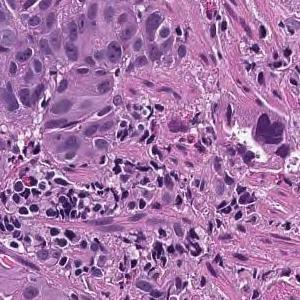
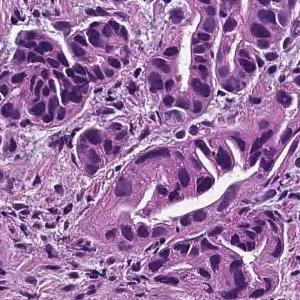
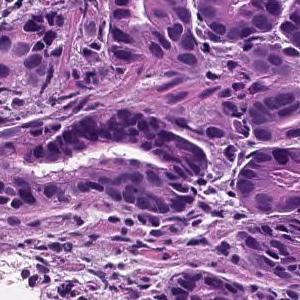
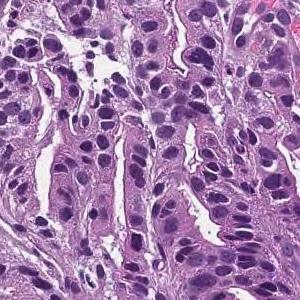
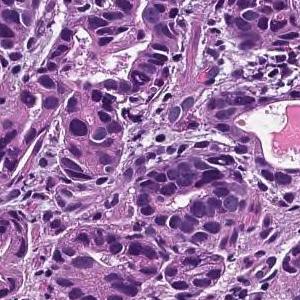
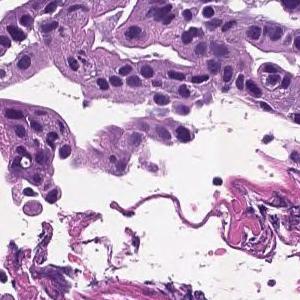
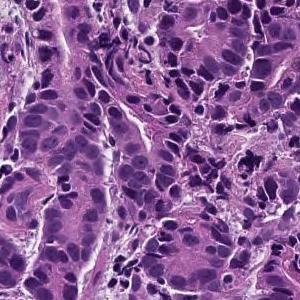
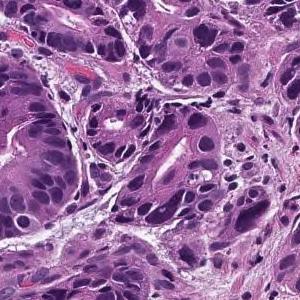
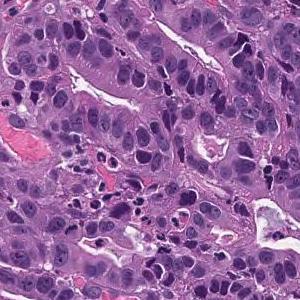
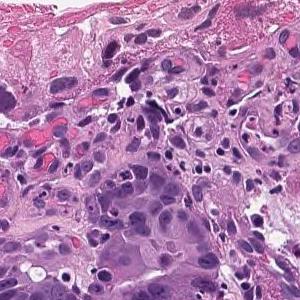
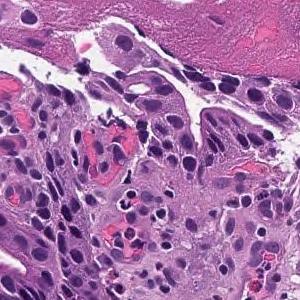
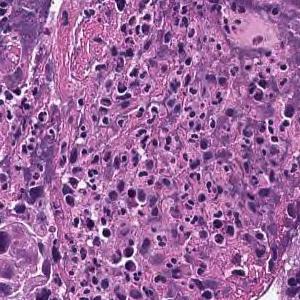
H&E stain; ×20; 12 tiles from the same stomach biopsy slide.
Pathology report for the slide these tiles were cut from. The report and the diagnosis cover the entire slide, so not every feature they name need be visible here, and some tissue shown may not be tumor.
In the superficial epithelium, tumor tissue that invades by forming medium-sized to small, irregular ducts is observed. moderately differentiated tubular adenocarcinoma.
